20× magnification; hematoxylin and eosin stain; 13 patches cut from one gastric biopsy slide; 300×300 px each.
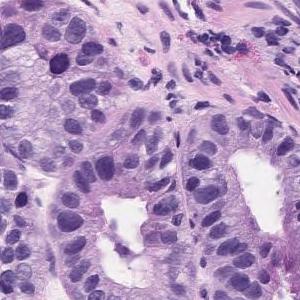
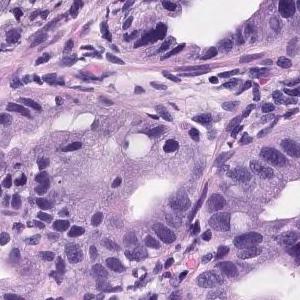
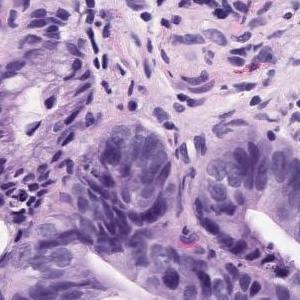
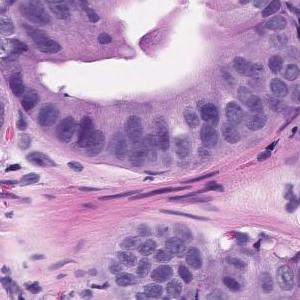
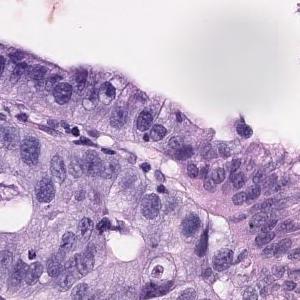
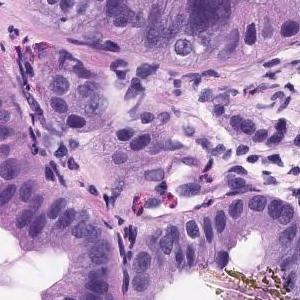
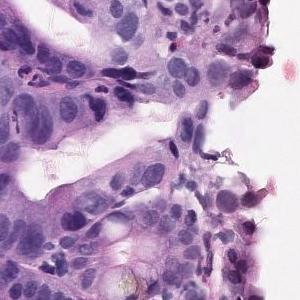
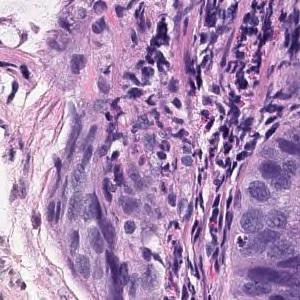
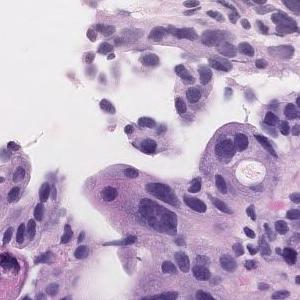
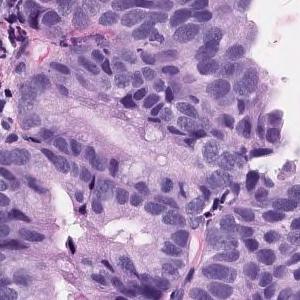
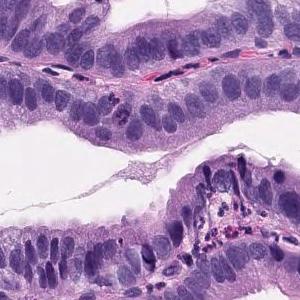
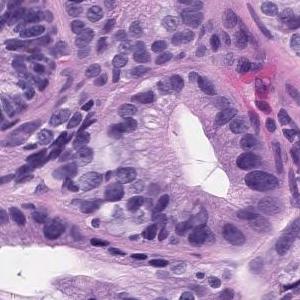
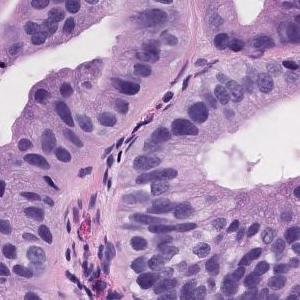
Diagnostic report for the slide these tiles come from. Both the report and the diagnosis are for the whole slide: these tiles need not show every feature named, and some of the tissue shown may not be tumor.
Tumor tissue consisting of medium-sized and irregular ducts is observed infiltrating in the superficial epithelium. Tumor cells are highly columnar, with nuclei aligned basolaterally and polarized. Well differentiated tubular adenocarcinoma.
